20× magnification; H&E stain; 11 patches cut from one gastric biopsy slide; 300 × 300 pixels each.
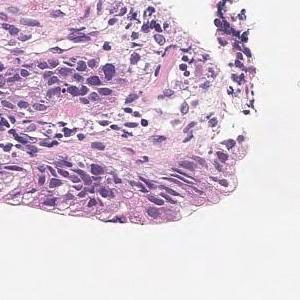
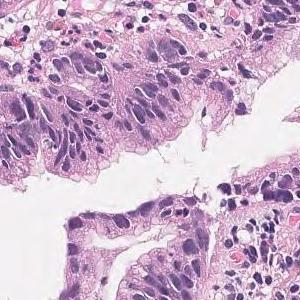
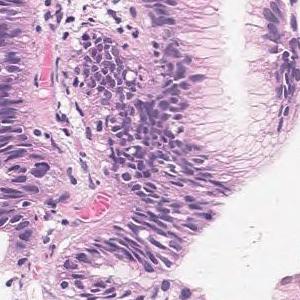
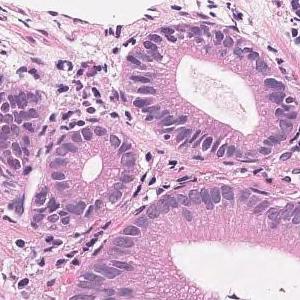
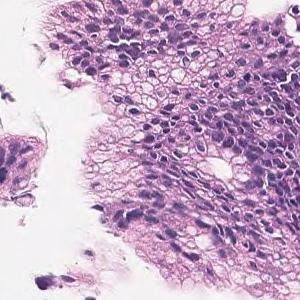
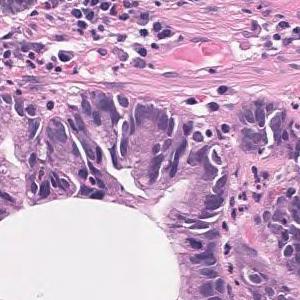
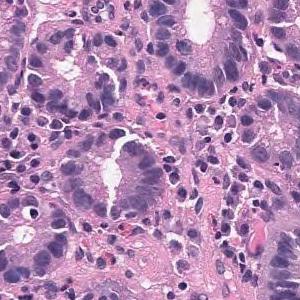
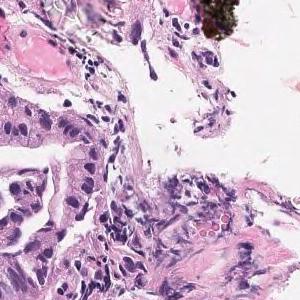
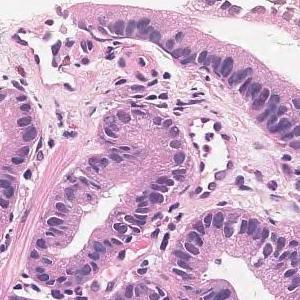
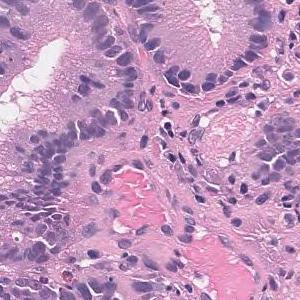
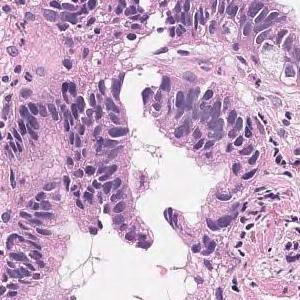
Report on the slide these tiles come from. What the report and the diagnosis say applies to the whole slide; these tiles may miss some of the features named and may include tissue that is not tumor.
Tumor tissue that grows tubular from the surface to the glandular fossa is seen. Adenocarcinoma.
Subtype: Well differentiated tubular adenocarcinoma.
